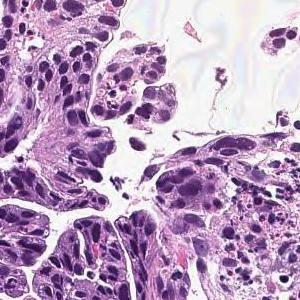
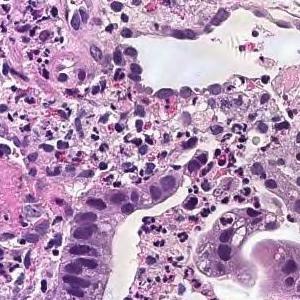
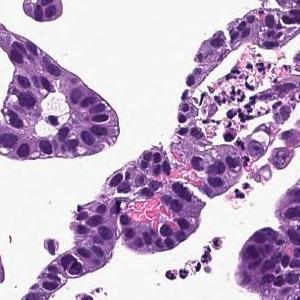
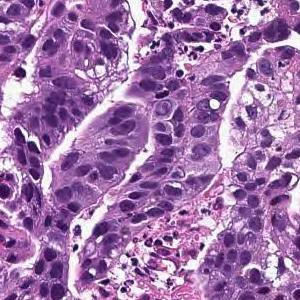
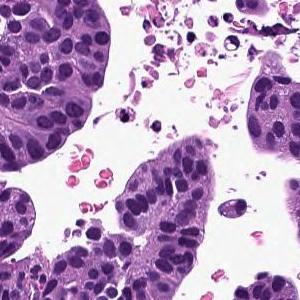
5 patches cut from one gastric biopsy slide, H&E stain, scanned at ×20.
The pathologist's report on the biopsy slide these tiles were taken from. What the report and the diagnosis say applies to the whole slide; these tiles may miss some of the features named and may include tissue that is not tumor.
Tumor cells are large, highly columnar, large club-shaped nuclei, and are associated with chromatin aggregation. Papillary adenocarcinoma.
